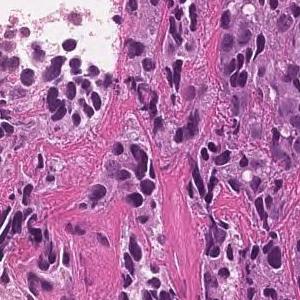
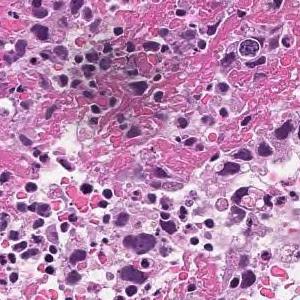
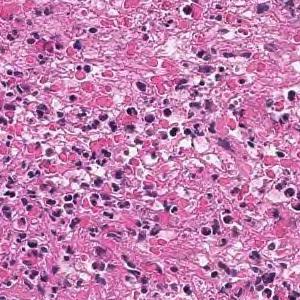
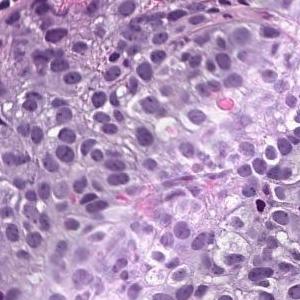
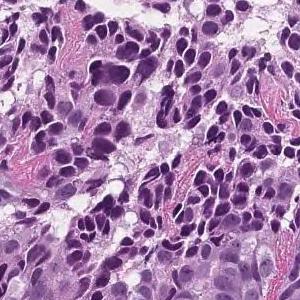
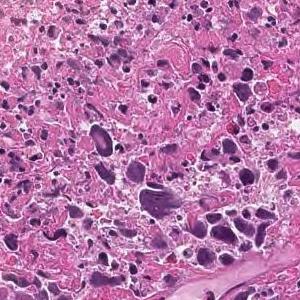
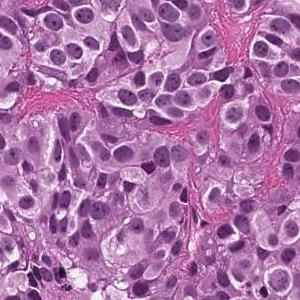
7 tiles from the same stomach biopsy slide · 300×300 px each.
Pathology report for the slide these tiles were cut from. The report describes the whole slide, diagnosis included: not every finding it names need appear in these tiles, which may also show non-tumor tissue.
The superficial epithelium shows a large sheet-like shape, and some tumor tissue infiltrates with small irregular ducts. Poorly differentiated adenocarcinoma, solid-type
Subtype: Poorly differentiated adenocarcinoma, solid type (Japanese Classification of Gastric Carcinoma). The WHO 2019 equivalent is tubular adenocarcinoma, poorly differentiated.
